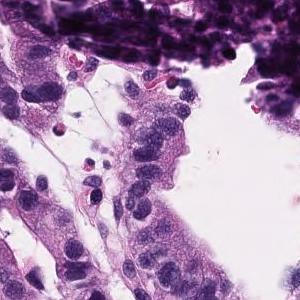
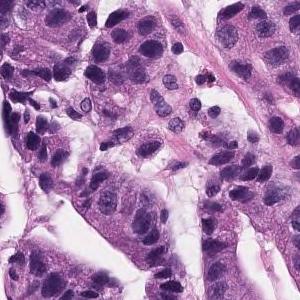
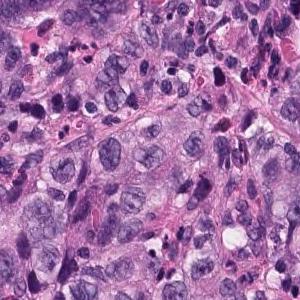
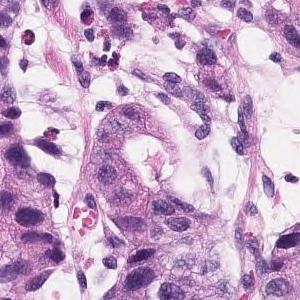
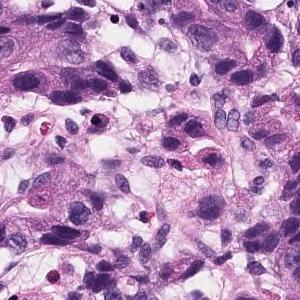
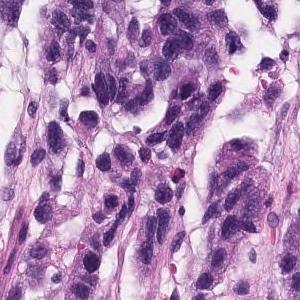
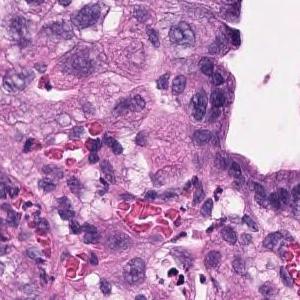
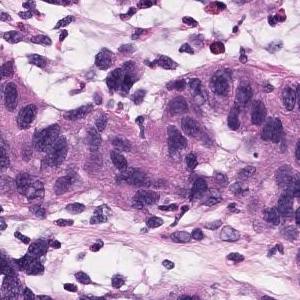
H&E stain, 8 patches cut from one gastric biopsy slide, each 300 × 300 pixels.
The pathologist's report on the biopsy slide these tiles were taken from. The report and the diagnosis cover the entire slide, so not every feature they name need be visible here, and some tissue shown may not be tumor.
Atypical l cells with atypical nuclei forming diffuse or small irregular atypical ducts and growing. Moderately to poorly differentiated adenocarcinoma (poorly differentiated adenocarcinoma, solid type, moderately differentiated tubular adenocarcinoma)
Subtype: Moderately to poorly differentiated adenocarcinoma.
"Solid type" is a category of the Japanese Classification of Gastric Carcinoma; in the WHO 2019 classification it is tubular adenocarcinoma, poorly differentiated.
